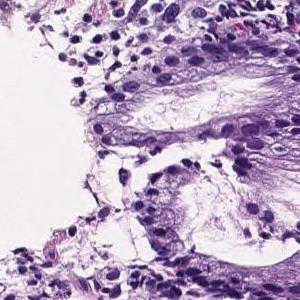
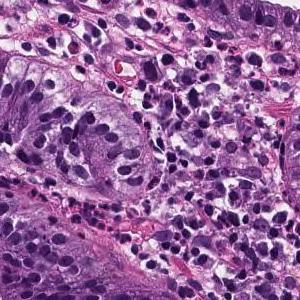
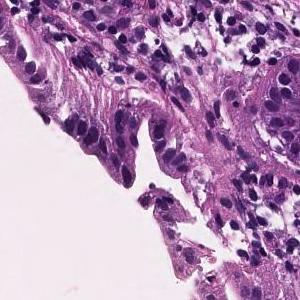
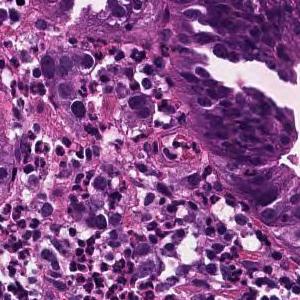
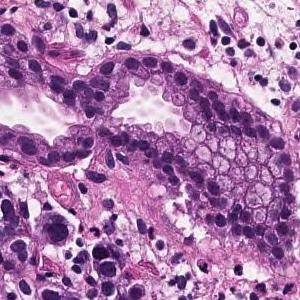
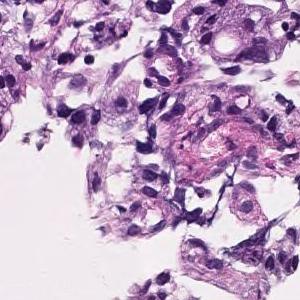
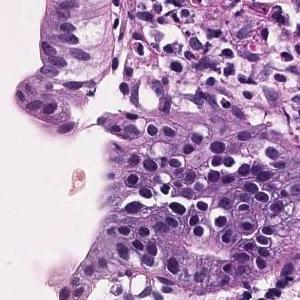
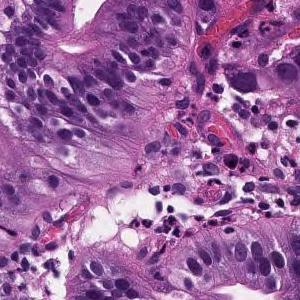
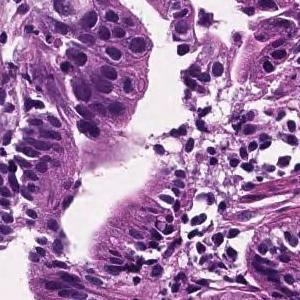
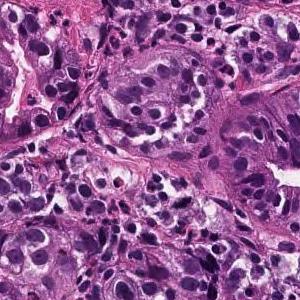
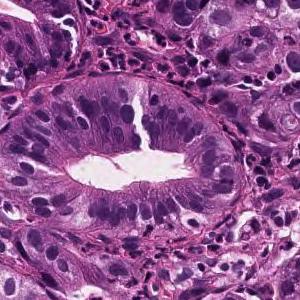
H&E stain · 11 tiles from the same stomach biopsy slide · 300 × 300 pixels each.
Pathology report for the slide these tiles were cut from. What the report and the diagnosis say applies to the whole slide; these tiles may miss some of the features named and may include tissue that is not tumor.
In the superficial epithelium, tumor tissue that invades by forming medium-sized to small, irregular ducts is observed. moderately differentiated tubular adenocarcinoma.
